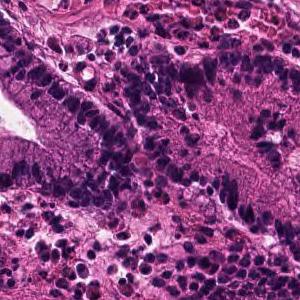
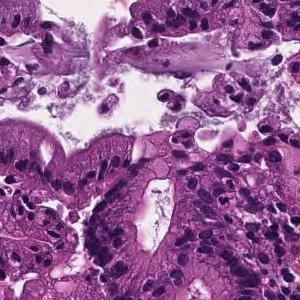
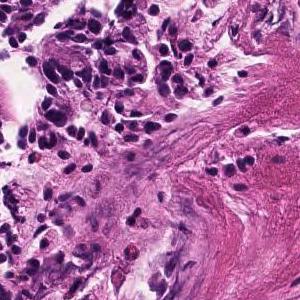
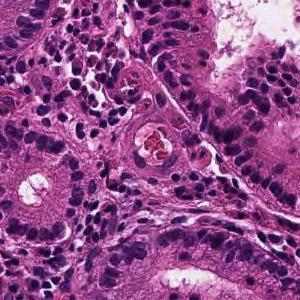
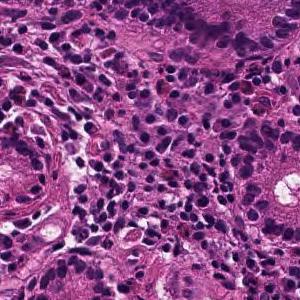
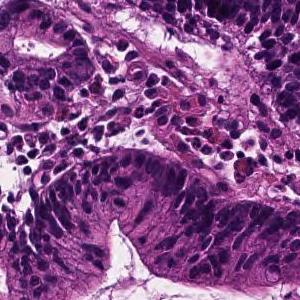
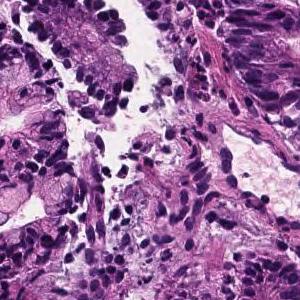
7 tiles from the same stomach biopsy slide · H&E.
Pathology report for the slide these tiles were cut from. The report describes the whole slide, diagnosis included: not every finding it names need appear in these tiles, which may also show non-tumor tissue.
In the superficial epithelium, tumor tissue that invades by forming medium-sized to small, irregular ducts is observed. moderately differentiated tubular adenocarcinoma.
